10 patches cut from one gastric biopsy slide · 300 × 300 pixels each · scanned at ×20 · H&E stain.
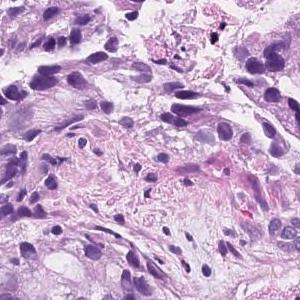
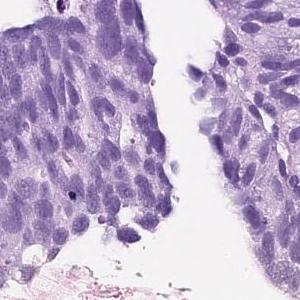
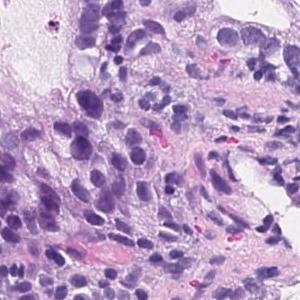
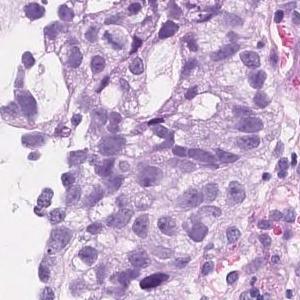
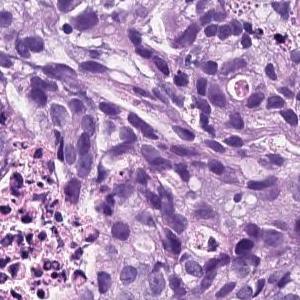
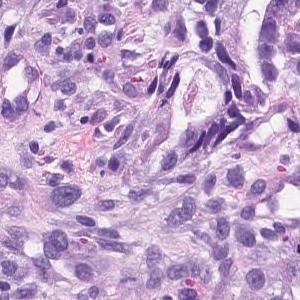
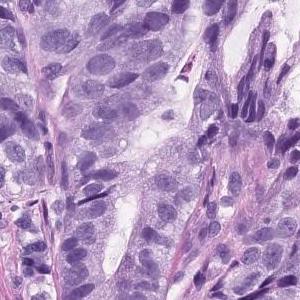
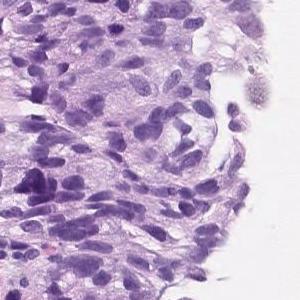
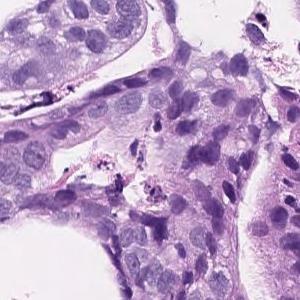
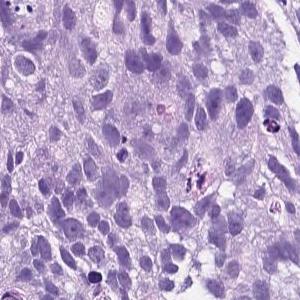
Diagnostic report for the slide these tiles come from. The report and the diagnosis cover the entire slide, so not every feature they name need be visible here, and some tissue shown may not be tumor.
On the superficial epithelium, tumor tissue consisting of an image of large, irregular glandular ducts partially fused and infiltrated is observed. Well to moderately differentiated tubular adenocarcinoma
